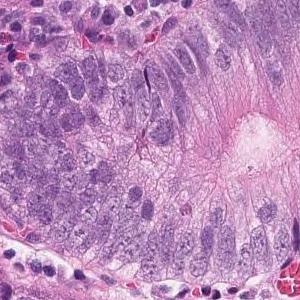
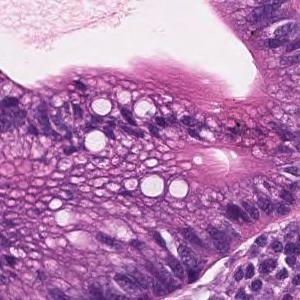
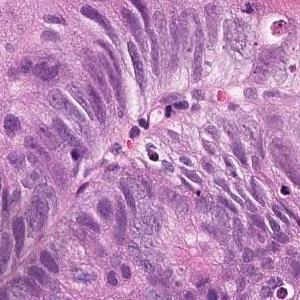
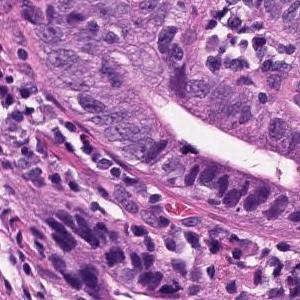
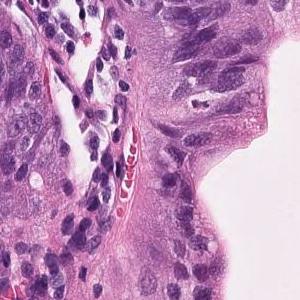
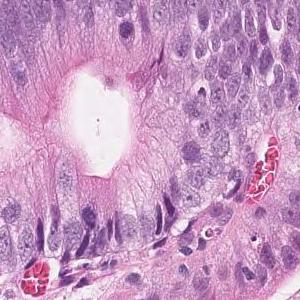
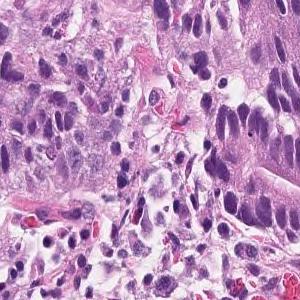
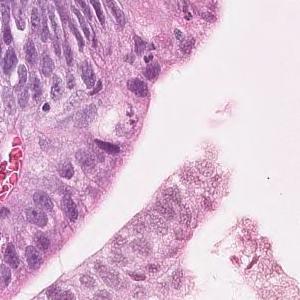
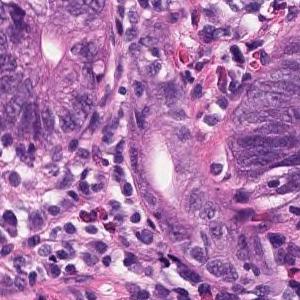
9 tiles from the same stomach biopsy slide, 300×300 px each, 20× magnification, hematoxylin and eosin stain.
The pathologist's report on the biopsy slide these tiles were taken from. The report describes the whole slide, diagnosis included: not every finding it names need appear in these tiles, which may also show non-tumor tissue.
Tumor cells are large, highly columnar, large club-shaped nuclei, and are associated with chromatin aggregation. Papillary adenocarcinoma.
